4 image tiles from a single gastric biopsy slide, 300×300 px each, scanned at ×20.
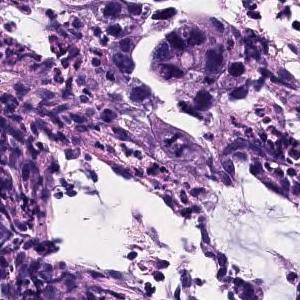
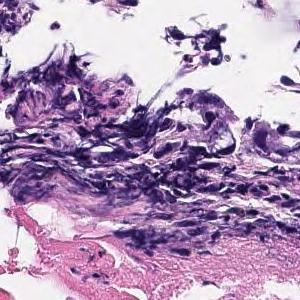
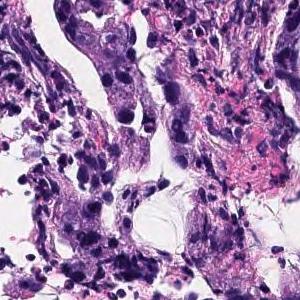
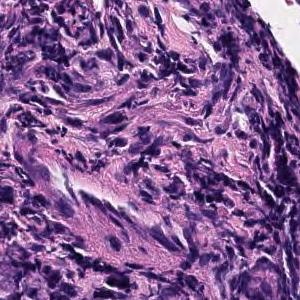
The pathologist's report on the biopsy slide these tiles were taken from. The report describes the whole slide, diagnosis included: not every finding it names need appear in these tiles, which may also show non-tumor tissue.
The superficial epithelium shows small cord-like infiltrating tumor tissue. Some part of neoplastic cells are signet ring cell type which show single invasion manner. Poorly differentiated adenocarcinoma, non-solid type.
"Non-solid type" is a category of the Japanese Classification of Gastric Carcinoma.
